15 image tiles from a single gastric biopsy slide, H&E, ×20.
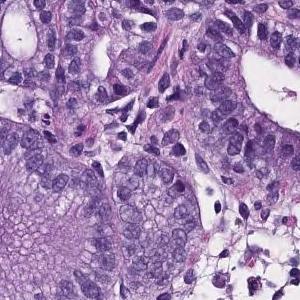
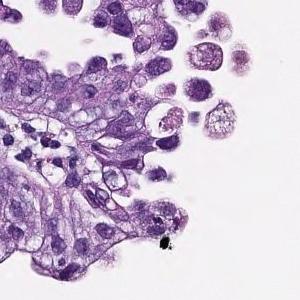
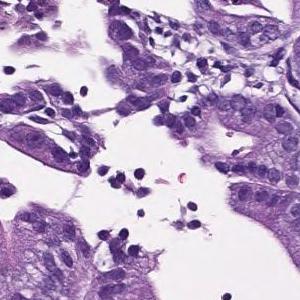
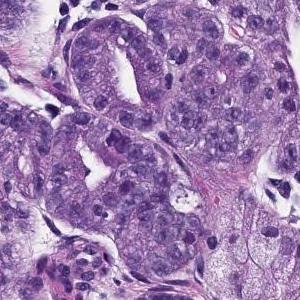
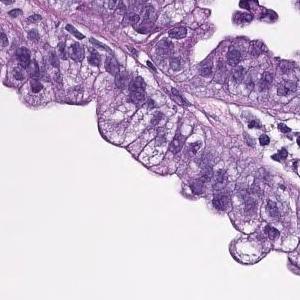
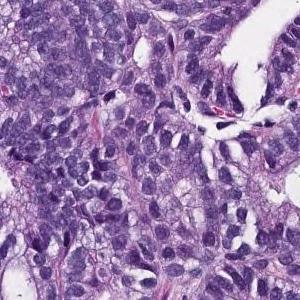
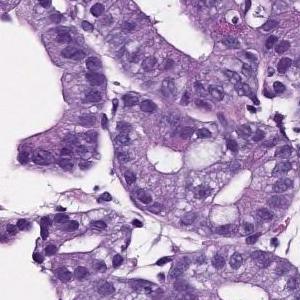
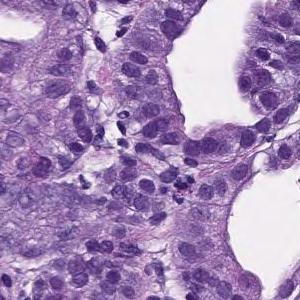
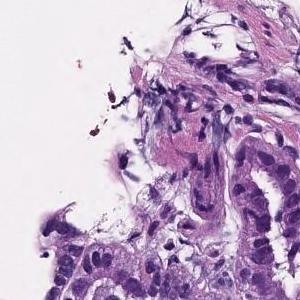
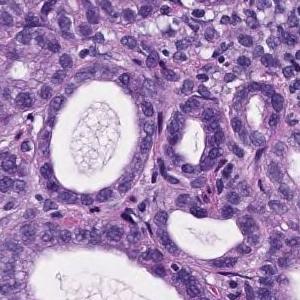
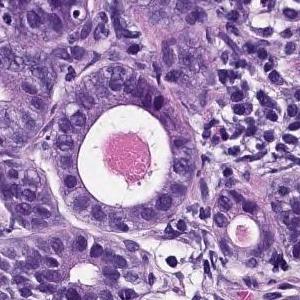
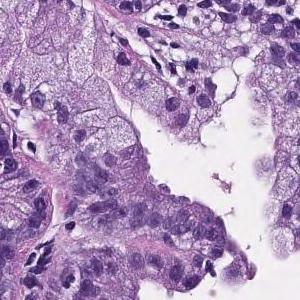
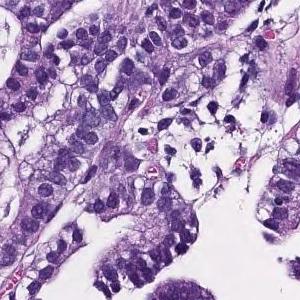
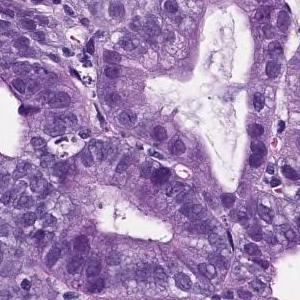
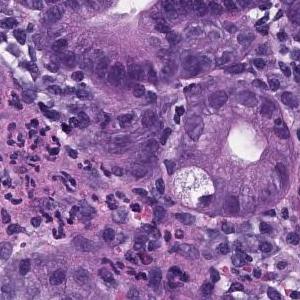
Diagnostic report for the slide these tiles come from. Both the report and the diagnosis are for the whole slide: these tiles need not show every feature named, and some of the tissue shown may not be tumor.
On the superficial epithelium, tumor tissue that infiltrates by forming medium-sized papillary or small irregular ducts is observed. Papillary adenocarcinoma
